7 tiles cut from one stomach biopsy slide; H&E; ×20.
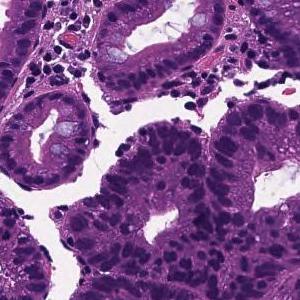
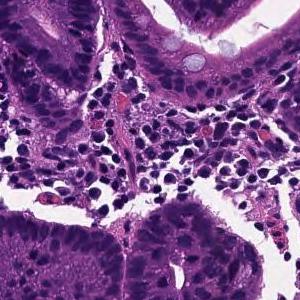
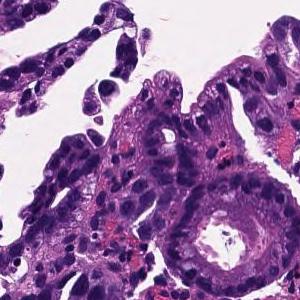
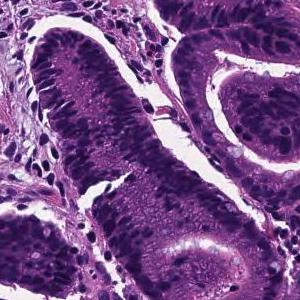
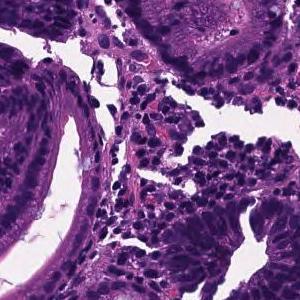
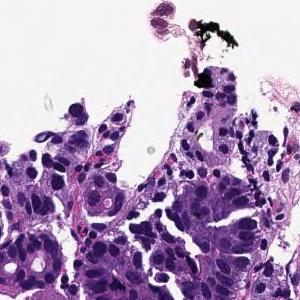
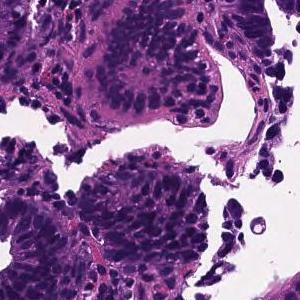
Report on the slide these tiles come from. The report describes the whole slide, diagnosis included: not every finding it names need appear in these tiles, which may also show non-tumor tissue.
From the superficial epithelium to the muscularis mucosae, tumor tissue consisting of medium-sized and irregular glandular ducts infiltrating is observed. Well differentiated tubular adenocarcinoma
